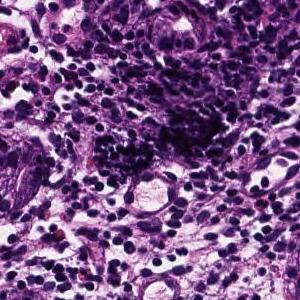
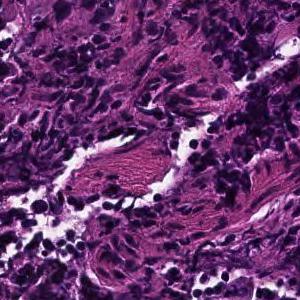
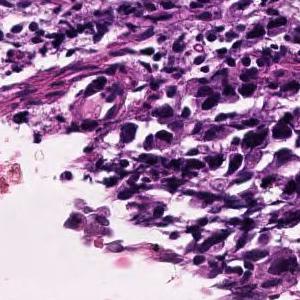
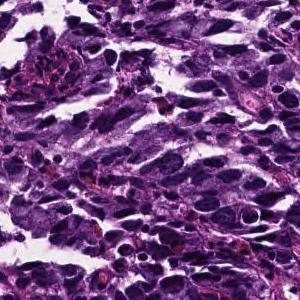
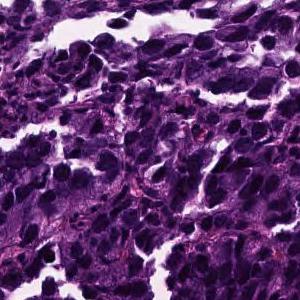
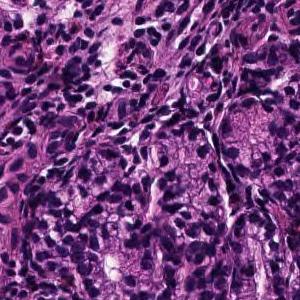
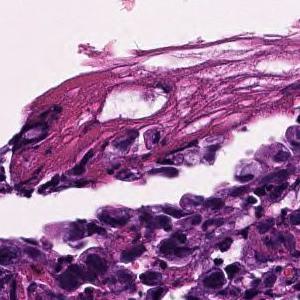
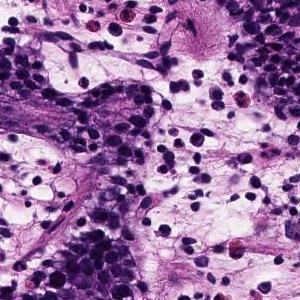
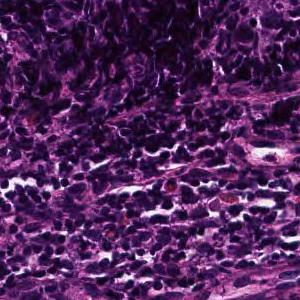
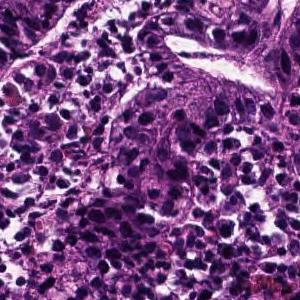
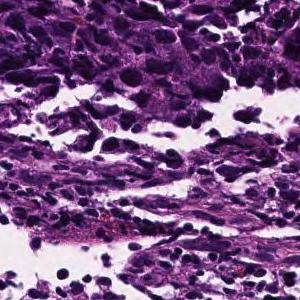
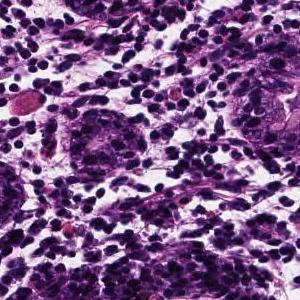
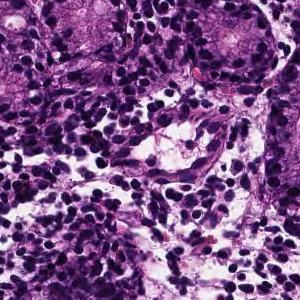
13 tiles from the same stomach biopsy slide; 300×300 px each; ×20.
Diagnostic report for the slide these tiles come from. The report and the diagnosis describe the slide as a whole, so these tiles may not show every feature named and may include non-tumor tissue.
The superficial epithelium shows a large sheet-like shape, and some tumor tissues infiltrate with a small cord-like structure. Poorly differentiated adenocarcinoma, solid type (poorly differentiated adenocarcinoma, solid type)
Histologic type: Poorly differentiated adenocarcinoma, solid type (Japanese Classification of Gastric Carcinoma). The WHO 2019 equivalent is tubular adenocarcinoma, poorly differentiated.
